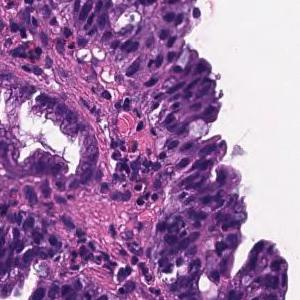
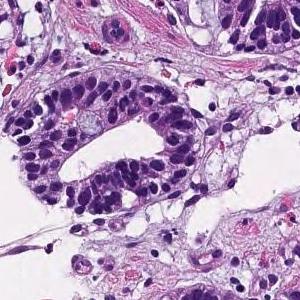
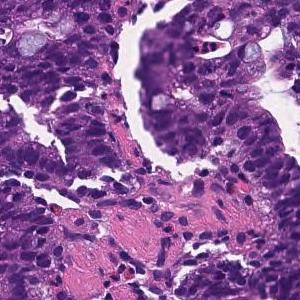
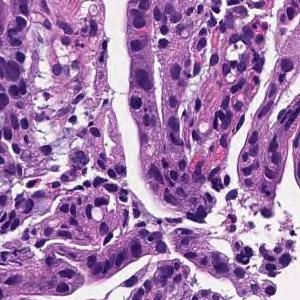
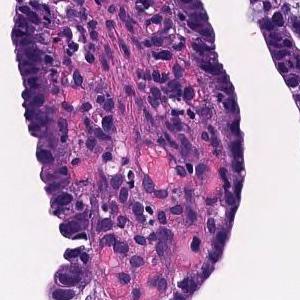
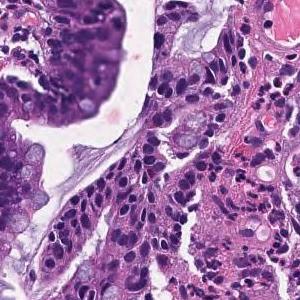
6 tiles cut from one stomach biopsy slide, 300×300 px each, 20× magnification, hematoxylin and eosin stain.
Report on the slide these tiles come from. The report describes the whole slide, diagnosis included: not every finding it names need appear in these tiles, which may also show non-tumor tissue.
Tumor cells are large, highly columnar, large club-shaped nuclei, and are associated with chromatin aggregation. Papillary adenocarcinoma.
